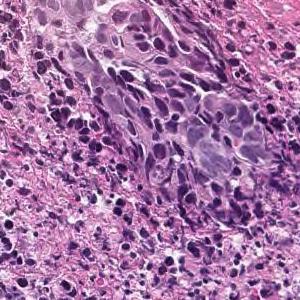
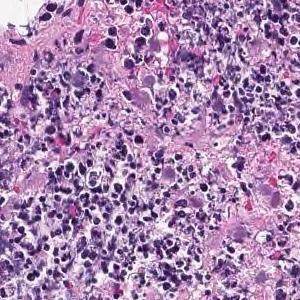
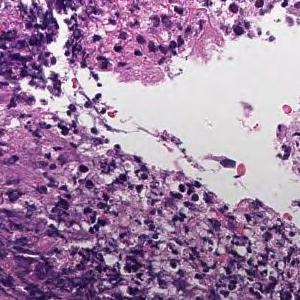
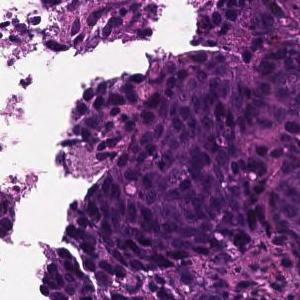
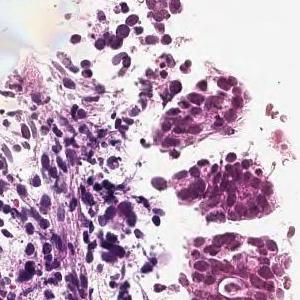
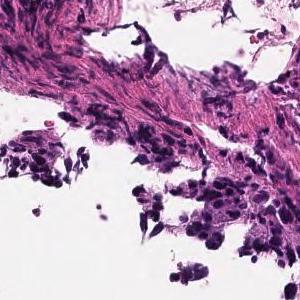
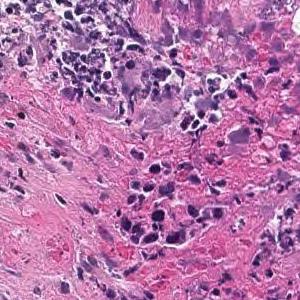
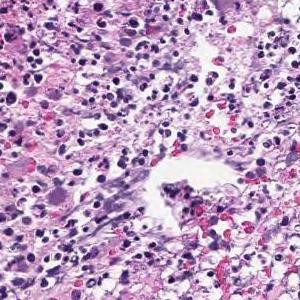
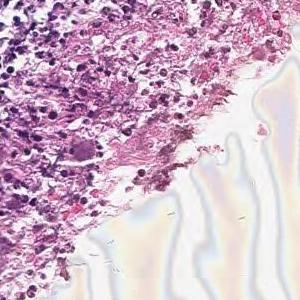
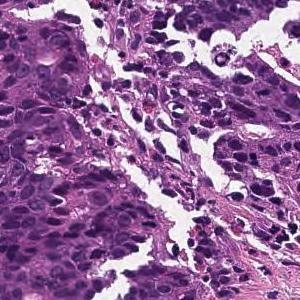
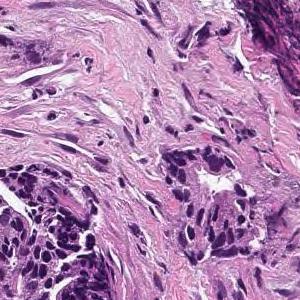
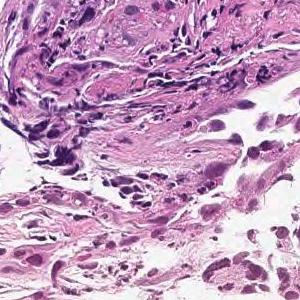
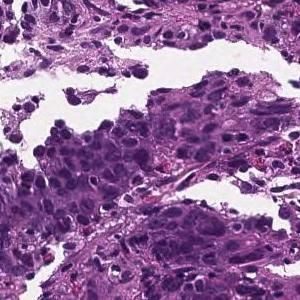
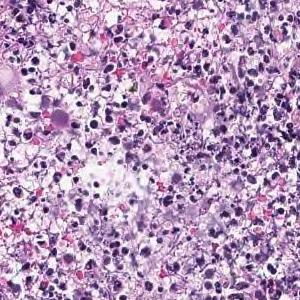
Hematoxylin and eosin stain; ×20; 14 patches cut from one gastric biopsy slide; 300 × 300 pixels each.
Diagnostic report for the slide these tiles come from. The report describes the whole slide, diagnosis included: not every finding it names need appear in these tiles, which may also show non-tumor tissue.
In the superficial epithelium, tumor tissue that invades by forming medium-sized to small, irregular ducts is observed. moderately differentiated tubular adenocarcinoma.
